×20; 10 image tiles from a single gastric biopsy slide; 300×300 px each.
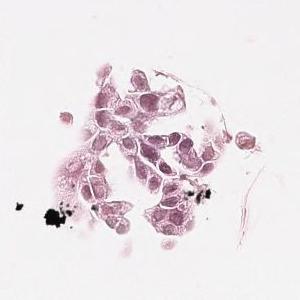
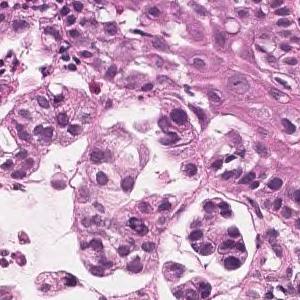
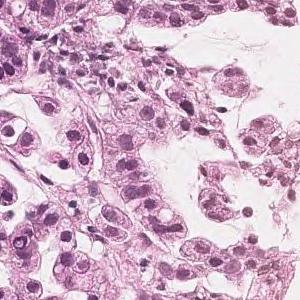
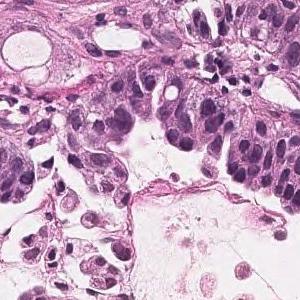
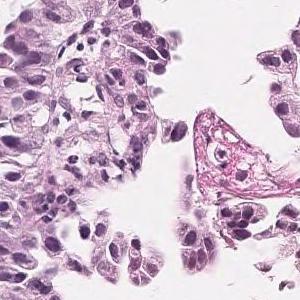
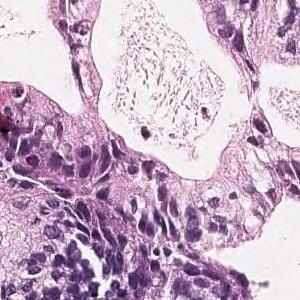
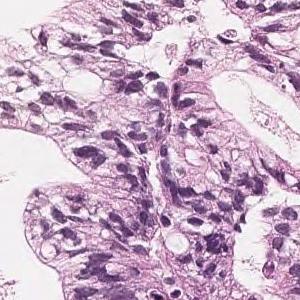
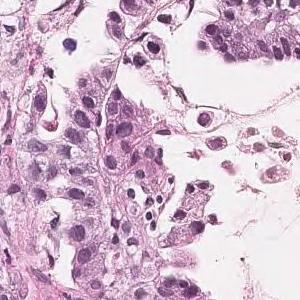
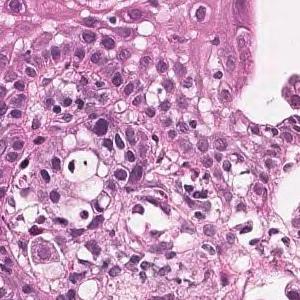
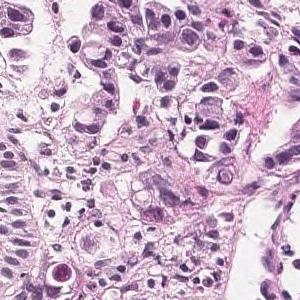
Diagnostic report for the slide these tiles come from. The report and the diagnosis describe the slide as a whole, so these tiles may not show every feature named and may include non-tumor tissue.
Tumor cells are large, highly columnar, large club-shaped nuclei, and are associated with chromatin aggregation. Papillary adenocarcinoma.
